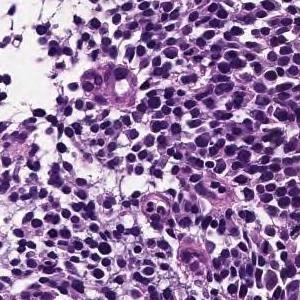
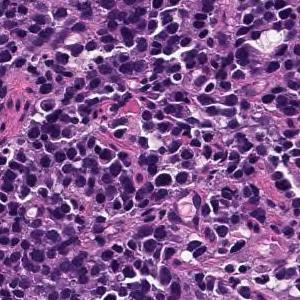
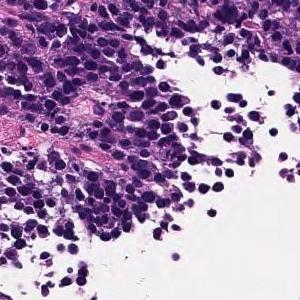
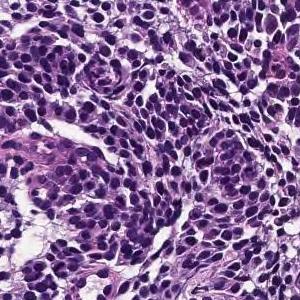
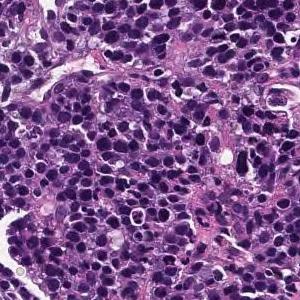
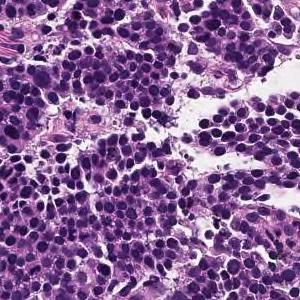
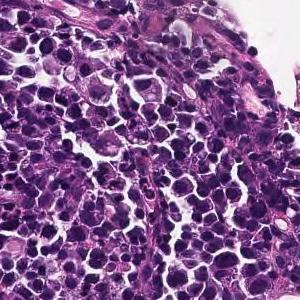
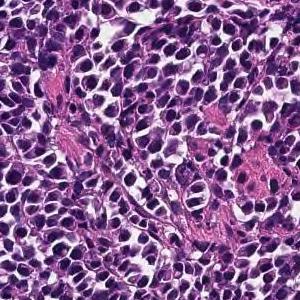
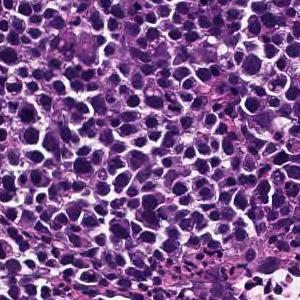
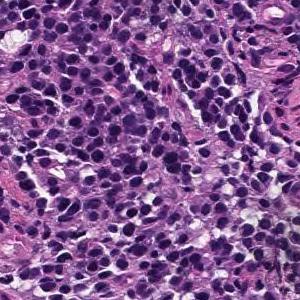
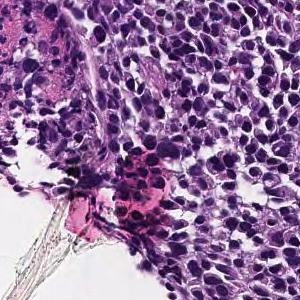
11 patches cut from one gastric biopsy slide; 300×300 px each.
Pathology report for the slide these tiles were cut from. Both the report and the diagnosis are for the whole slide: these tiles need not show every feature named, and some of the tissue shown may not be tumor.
Large sheet-like or diffusely infiltrating tumor tissue is found in the superficial epithelium. Poorly differentiated adenocarcinoma, solid-type
Subtype: Poorly differentiated adenocarcinoma, solid type, a category of the Japanese Classification of Gastric Carcinoma; in the WHO 2019 classification it is tubular adenocarcinoma, poorly differentiated.
